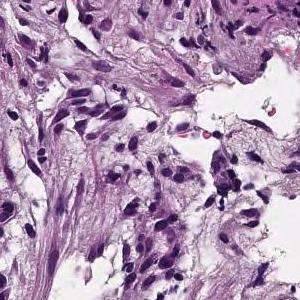
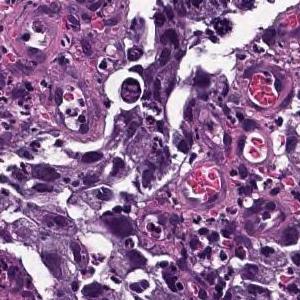
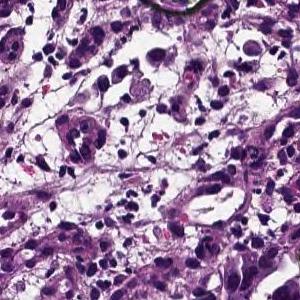
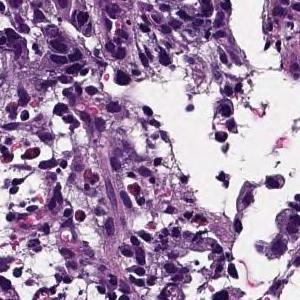
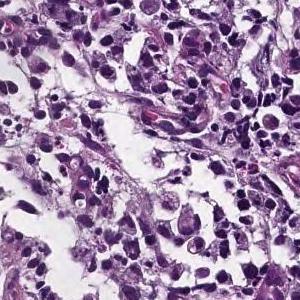
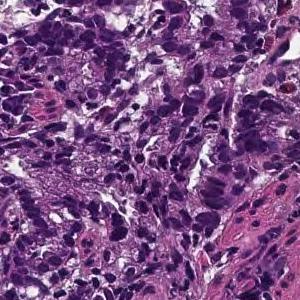
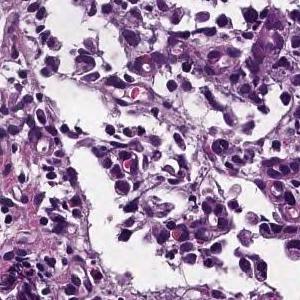
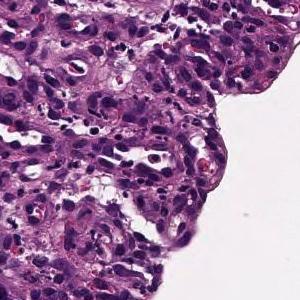
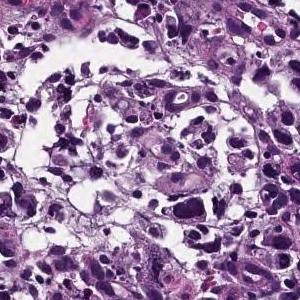
9 patches cut from one gastric biopsy slide; H&E.
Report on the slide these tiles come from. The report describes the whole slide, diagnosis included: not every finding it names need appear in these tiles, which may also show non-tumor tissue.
Medium to small, irregular glandular ducts are formed in the superficial epithelium, and in some cases, the glandular ducts are fused to show solid alveolar lesions and infiltrating tumor tissue is observed. Moderately to poorly differentiated adenocarcinoma.
